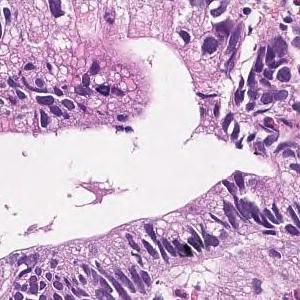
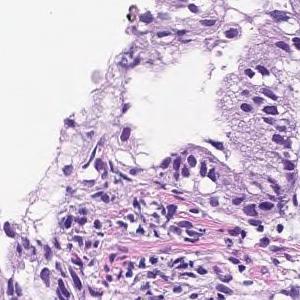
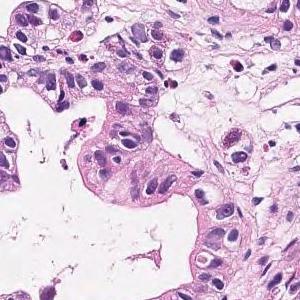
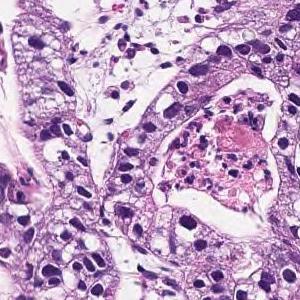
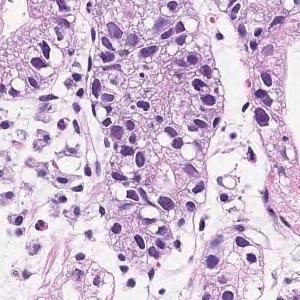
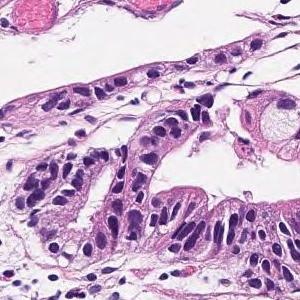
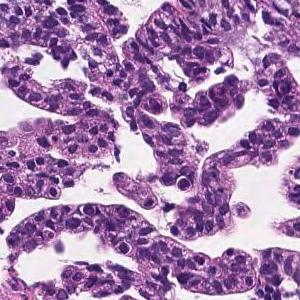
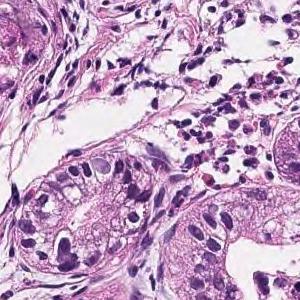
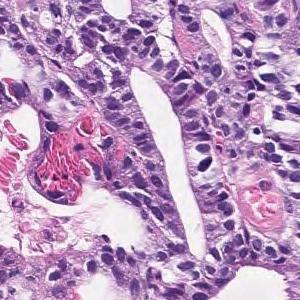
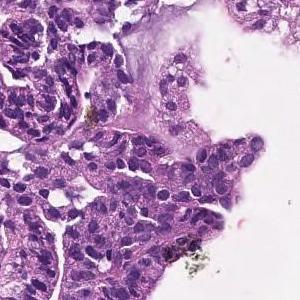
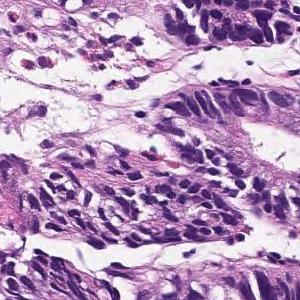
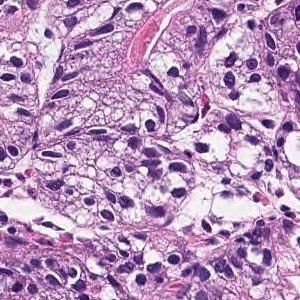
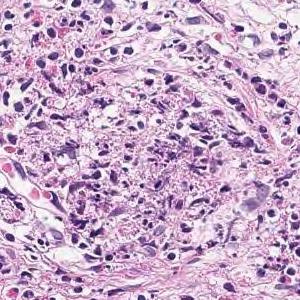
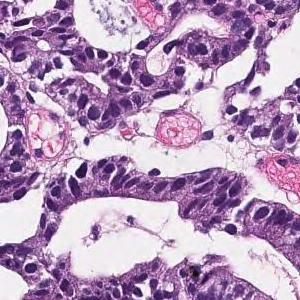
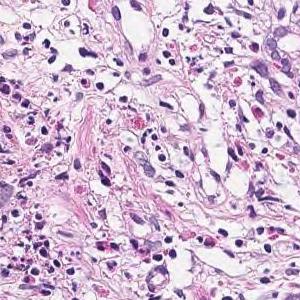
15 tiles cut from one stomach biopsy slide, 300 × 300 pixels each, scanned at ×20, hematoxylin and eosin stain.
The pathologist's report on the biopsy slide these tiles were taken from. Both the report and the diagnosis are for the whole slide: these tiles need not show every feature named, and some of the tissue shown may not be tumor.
In the superficial epithelium, tumor tissue that invades by forming medium-sized to small, irregular ducts is observed. Moderately differentiated adenocarcinoma.
Subtype: Moderately differentiated tubular adenocarcinoma.
